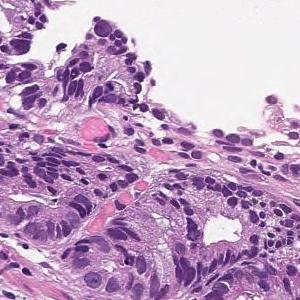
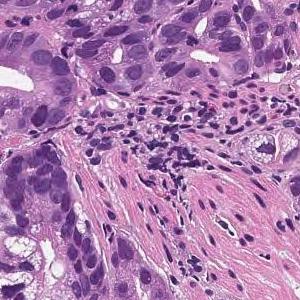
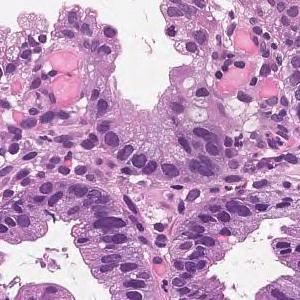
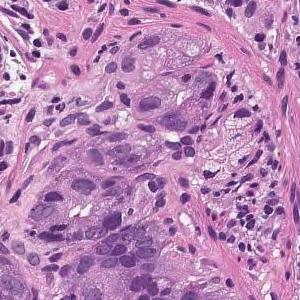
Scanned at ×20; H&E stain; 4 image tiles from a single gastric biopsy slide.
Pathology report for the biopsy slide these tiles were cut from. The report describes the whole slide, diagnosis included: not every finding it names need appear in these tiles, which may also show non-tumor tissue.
On the superficial epithelium, tumor tissue consisting of large irregular glandular ducts partially fused and infiltrated is observed. Well to moderately differentiated tubular adenocarcinoma (well differentiated tubular adenocarcinoma, moderately differentiated tubular adenocarcinoma)
Tumor subtype: well to moderately differentiated tubular adenocarcinoma.
